H&E stain · 20× magnification · 4 patches cut from one gastric biopsy slide · 300 × 300 pixels each.
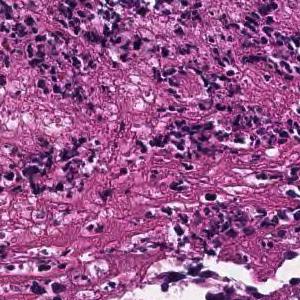
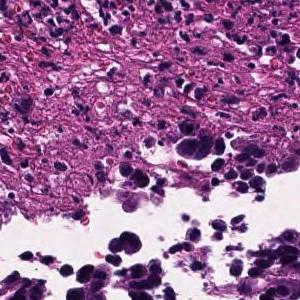
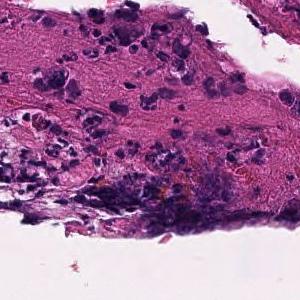
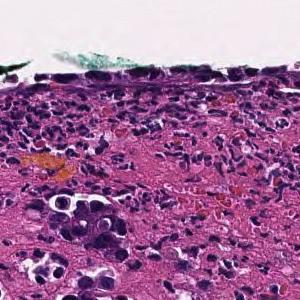
Pathology report for the slide these tiles were cut from. What the report and the diagnosis say applies to the whole slide; these tiles may miss some of the features named and may include tissue that is not tumor.
Tumor tissue consisting of cord-like or small, irregular glandular ducts fused and infiltrated is observed in the superficial epithelium. Poorly differentiated adenocarcinoma, non-solid type
The term "non-solid type" comes from the Japanese Classification of Gastric Carcinoma.
